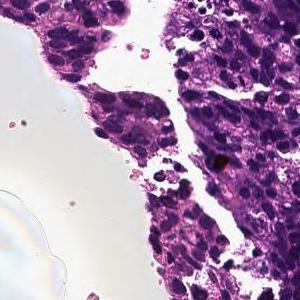
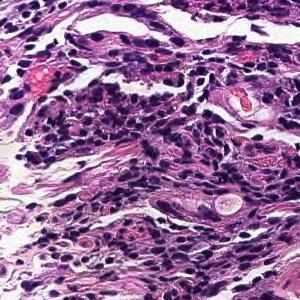
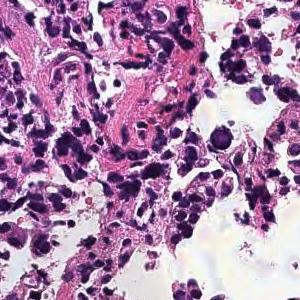
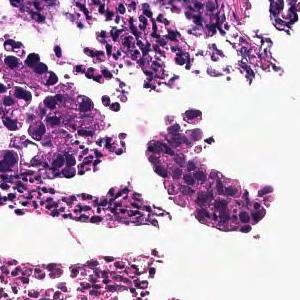
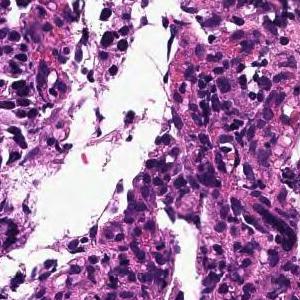
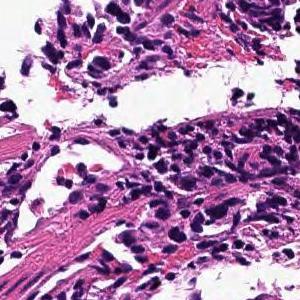
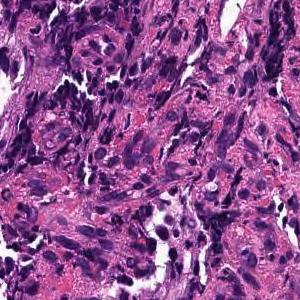
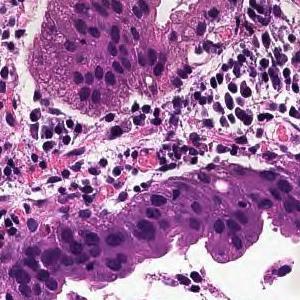
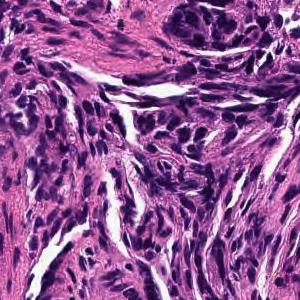
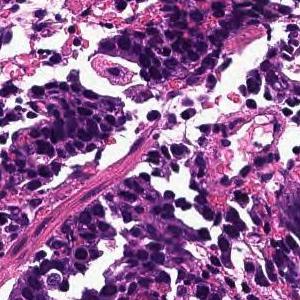
10 tiles from the same stomach biopsy slide; each 300 × 300 pixels; ×20; hematoxylin and eosin stain.
Report on the slide these tiles come from. The report and the diagnosis describe the slide as a whole, so these tiles may not show every feature named and may include non-tumor tissue.
In the superficial epithelium, tumor tissue that invades by forming medium-sized to small, irregular ducts is observed. moderately differentiated tubular adenocarcinoma.
